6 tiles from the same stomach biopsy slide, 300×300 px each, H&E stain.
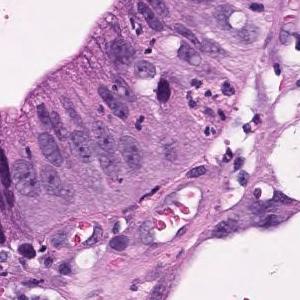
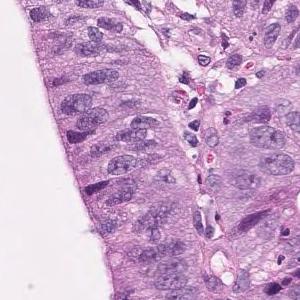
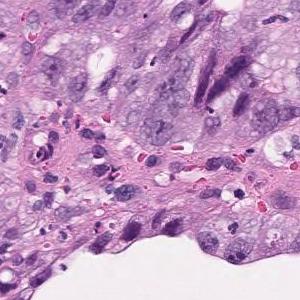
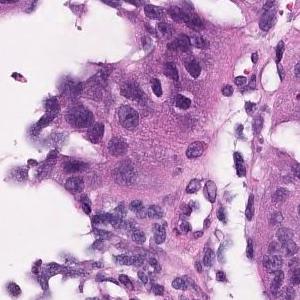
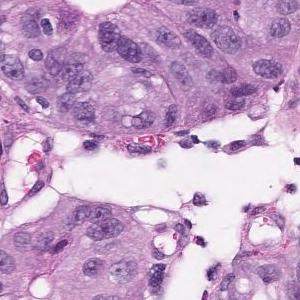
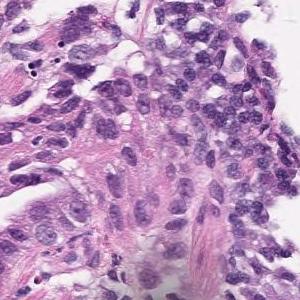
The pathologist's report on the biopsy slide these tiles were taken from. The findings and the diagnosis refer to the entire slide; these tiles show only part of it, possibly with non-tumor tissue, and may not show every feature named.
On the superficial epithelium, tumor tissue consisting of medium to small irregular tubules partially fused and proliferated is observed. Well differentiated tubular adenocarcinoma
